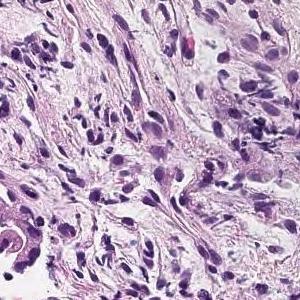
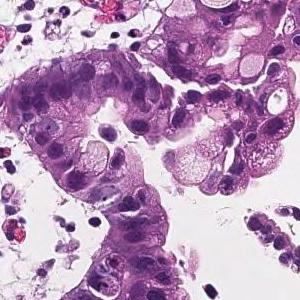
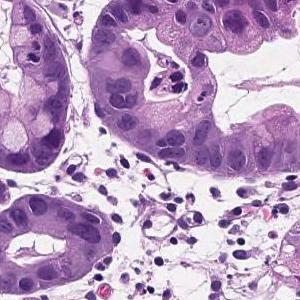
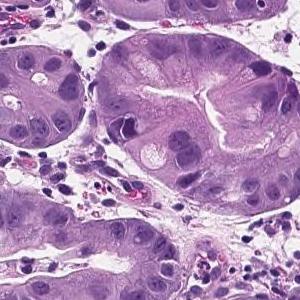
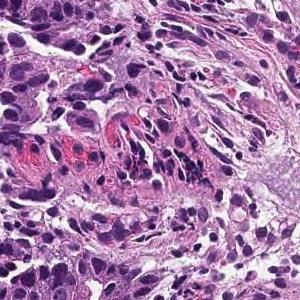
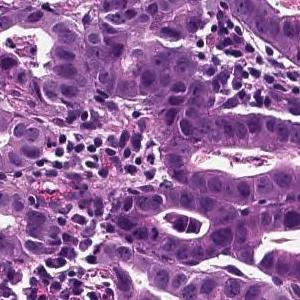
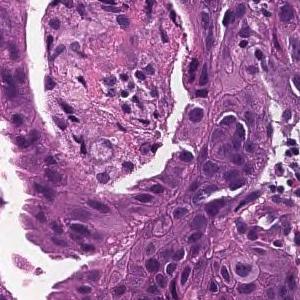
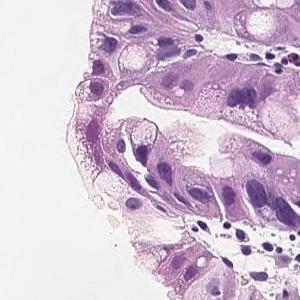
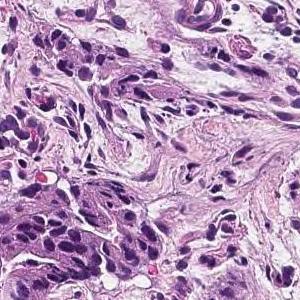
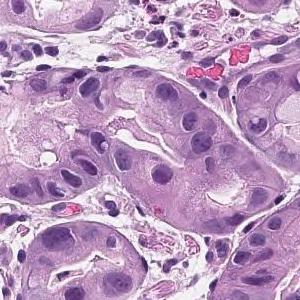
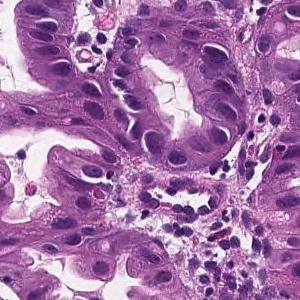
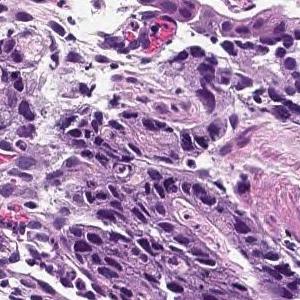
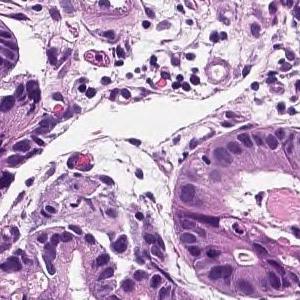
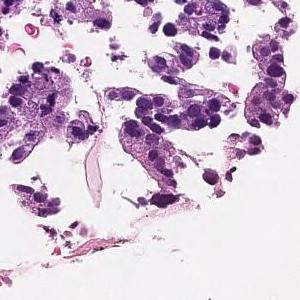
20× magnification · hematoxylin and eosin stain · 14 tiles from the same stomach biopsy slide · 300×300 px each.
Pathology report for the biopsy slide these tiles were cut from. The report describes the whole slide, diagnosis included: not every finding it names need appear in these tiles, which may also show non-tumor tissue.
On the superficial epithelium, tumor tissue that infiltrates by forming medium-sized papillary or small irregular ducts is observed. Papillary adenocarcinoma
